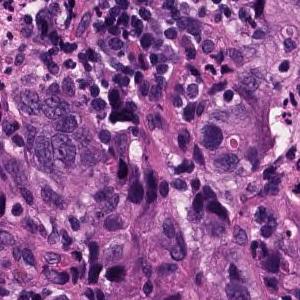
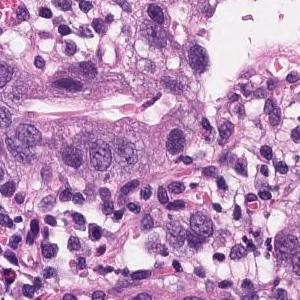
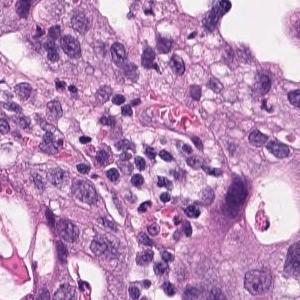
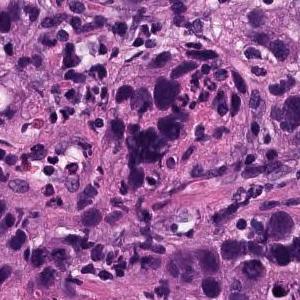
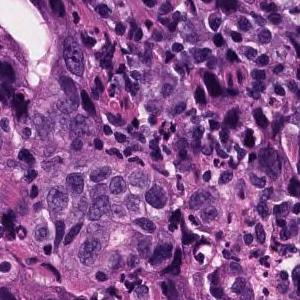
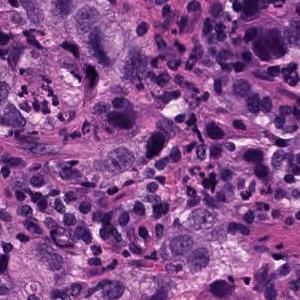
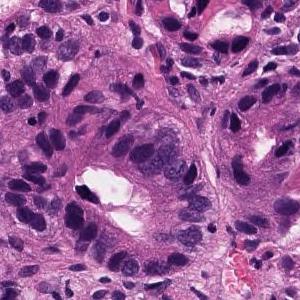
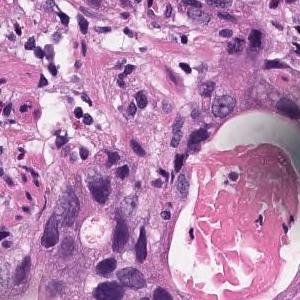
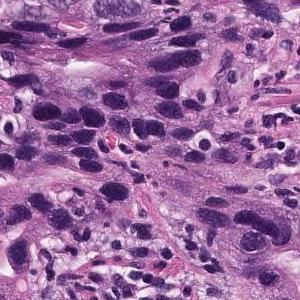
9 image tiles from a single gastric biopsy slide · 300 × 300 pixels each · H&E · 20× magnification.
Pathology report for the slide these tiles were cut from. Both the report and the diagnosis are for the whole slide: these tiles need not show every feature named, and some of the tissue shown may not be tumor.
In the superficial epithelium, tumor tissue that invades by forming medium-sized to small, irregular ducts is observed. Moderately differentiated adenocarcinoma.
Tumor subtype: moderately differentiated tubular adenocarcinoma.
